H&E stain; 20× magnification; 4 patches cut from one gastric biopsy slide; 300 × 300 pixels each.
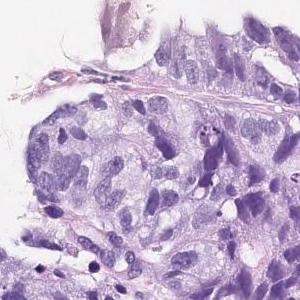
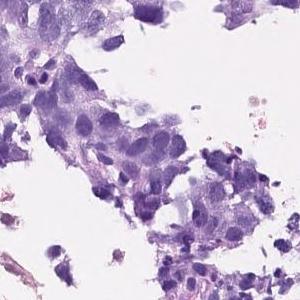
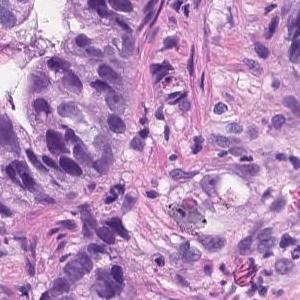
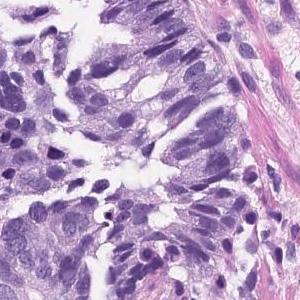
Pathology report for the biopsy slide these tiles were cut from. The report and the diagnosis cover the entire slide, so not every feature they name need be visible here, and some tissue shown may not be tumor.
On the superficial epithelium, tumor tissue consisting of an image of large, irregular glandular ducts partially fused and infiltrated is observed. Well to moderately differentiated tubular adenocarcinoma
